H&E stain; 20× magnification; 11 tiles cut from one stomach biopsy slide; each 300 × 300 pixels.
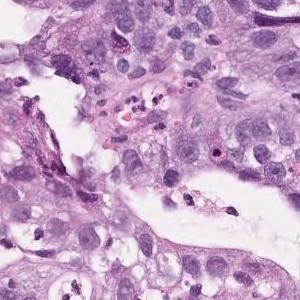
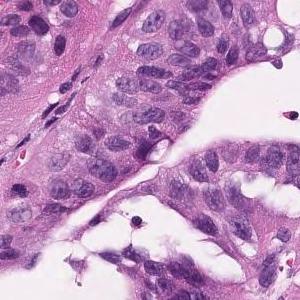
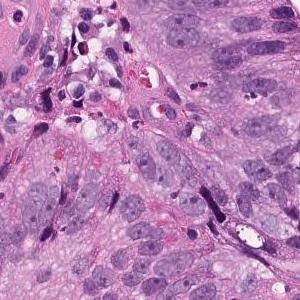
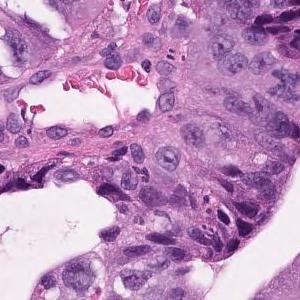
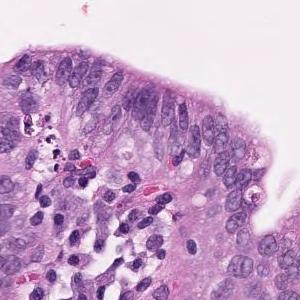
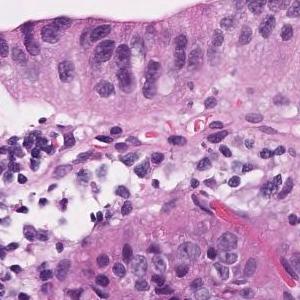
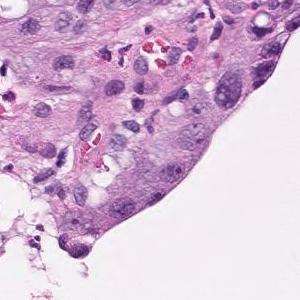
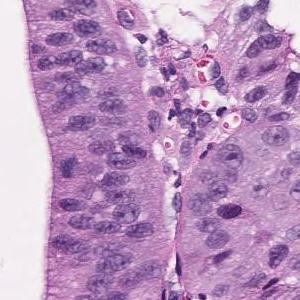
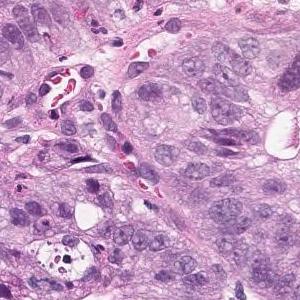
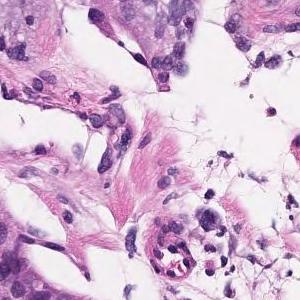
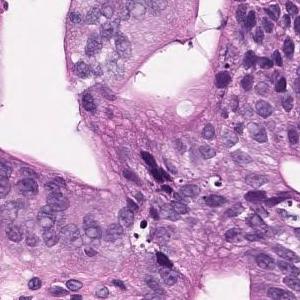
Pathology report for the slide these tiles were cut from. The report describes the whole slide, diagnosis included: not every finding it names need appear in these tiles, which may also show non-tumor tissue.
On the superficial epithelium, tumor tissue consisting of medium to small irregular tubules partially fused and proliferated is observed. Well differentiated tubular adenocarcinoma
